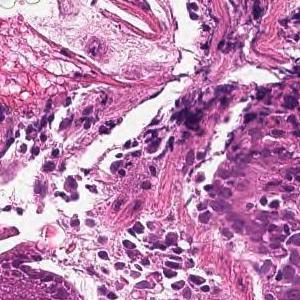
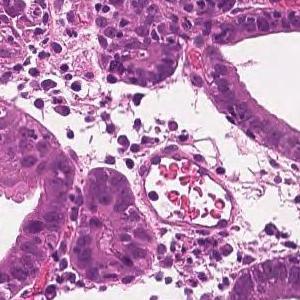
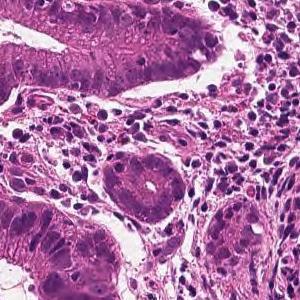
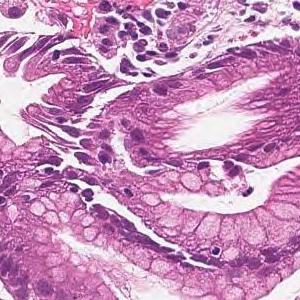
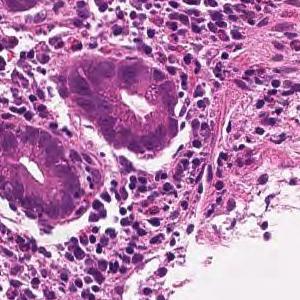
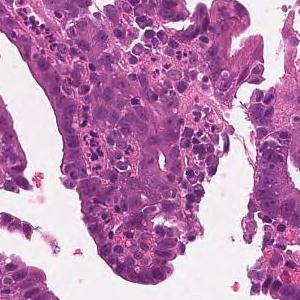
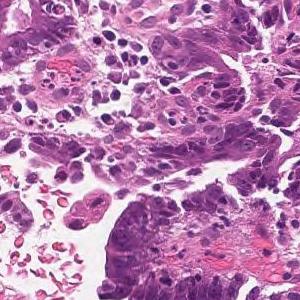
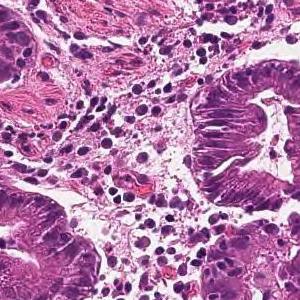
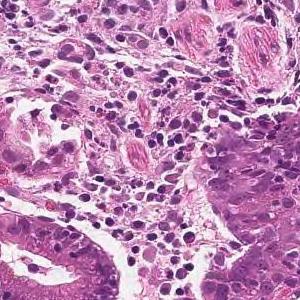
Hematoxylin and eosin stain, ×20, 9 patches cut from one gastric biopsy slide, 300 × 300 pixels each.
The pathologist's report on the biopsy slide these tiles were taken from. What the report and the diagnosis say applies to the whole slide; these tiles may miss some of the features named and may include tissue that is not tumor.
On the superficial epithelium, tumor tissue is found in which medium-sized irregular gland ducts fuse with each other and infiltrate. moderately differentiated tubular adenocarcinoma
